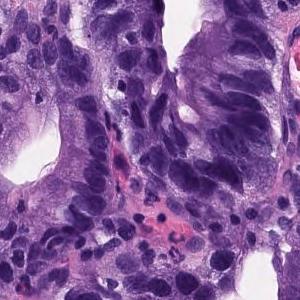
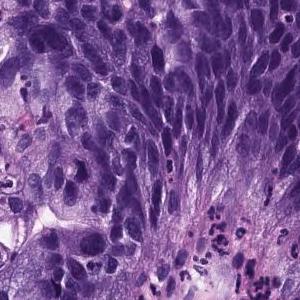
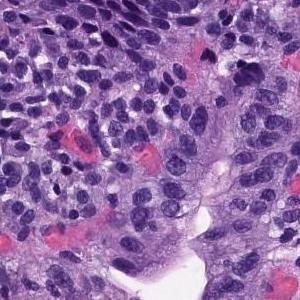
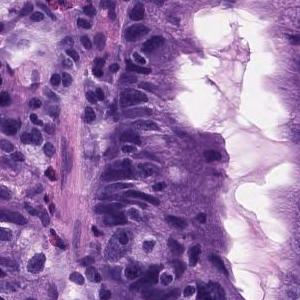
H&E stain, ×20, 4 patches cut from one gastric biopsy slide.
Diagnostic report for the slide these tiles come from. The report and the diagnosis cover the entire slide, so not every feature they name need be visible here, and some tissue shown may not be tumor.
There are atypical l cells with atypical nuclei forming irregular glandular ducts and growing in a complex manner. Well differentiated tubular adenocarcinoma
